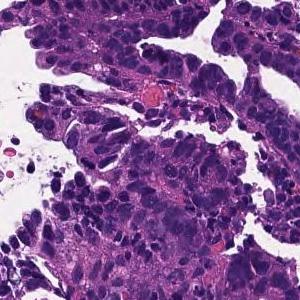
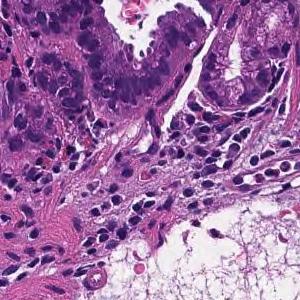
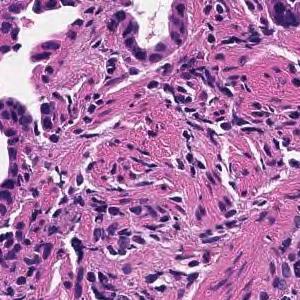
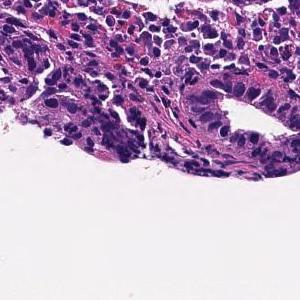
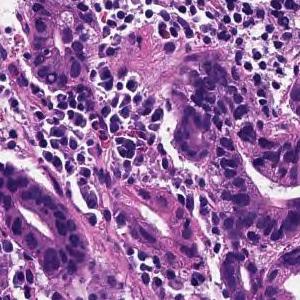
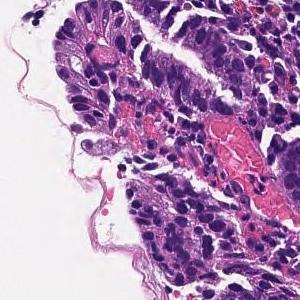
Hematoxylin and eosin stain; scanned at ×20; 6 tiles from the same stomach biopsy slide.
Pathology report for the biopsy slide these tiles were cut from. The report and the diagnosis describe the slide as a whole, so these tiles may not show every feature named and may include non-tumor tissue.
From the superficial epithelium to the muscularis mucosae, tumor tissue consisting of medium-sized and irregular glandular ducts infiltrating is observed. Well differentiated tubular adenocarcinoma
